20× magnification, 4 image tiles from a single gastric biopsy slide.
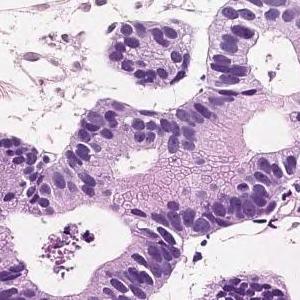
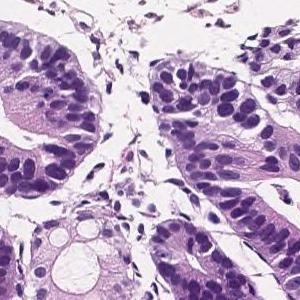
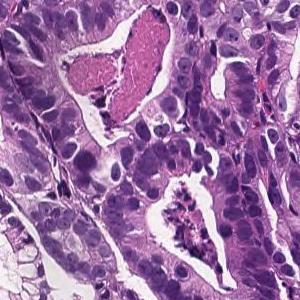
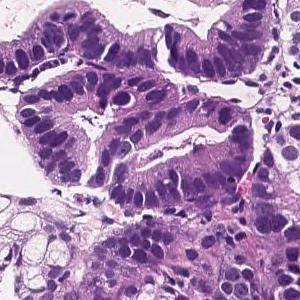
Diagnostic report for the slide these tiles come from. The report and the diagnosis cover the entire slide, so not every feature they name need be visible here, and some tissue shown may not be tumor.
In the superficial epithelium, tumor tissue that invades by forming medium-sized to small, irregular ducts is observed. Well differentiated tubular adenocarcinoma.
